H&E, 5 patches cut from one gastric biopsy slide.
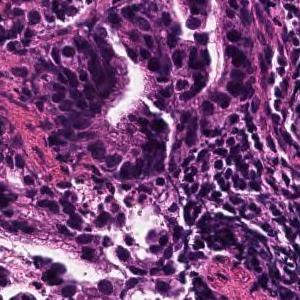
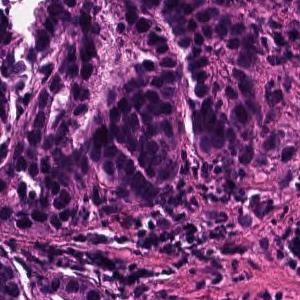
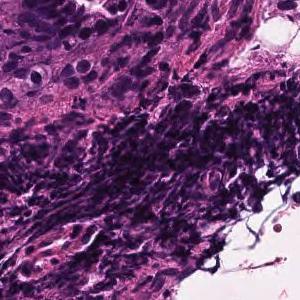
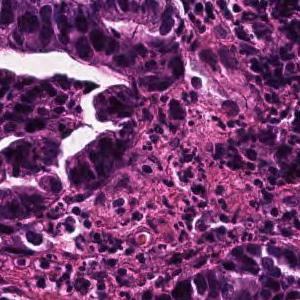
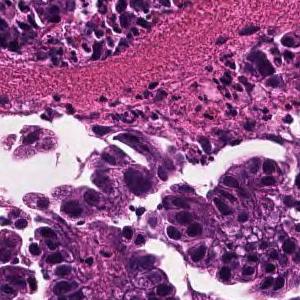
Pathology report for the slide these tiles were cut from. What the report and the diagnosis say applies to the whole slide; these tiles may miss some of the features named and may include tissue that is not tumor.
Tumor tissue consisting of large papillary structures is found in the superficial epithelium. Papillary adenocarcinoma.
